8 patches cut from one gastric biopsy slide, 300 × 300 pixels each.
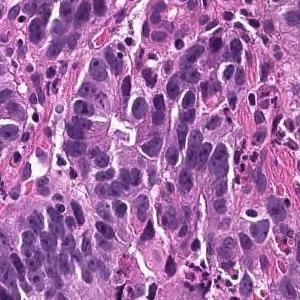
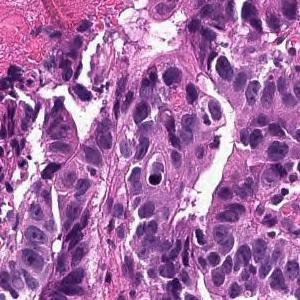
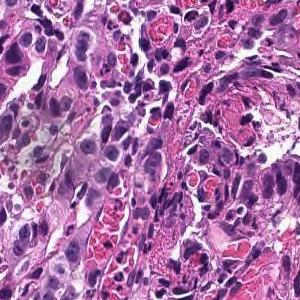
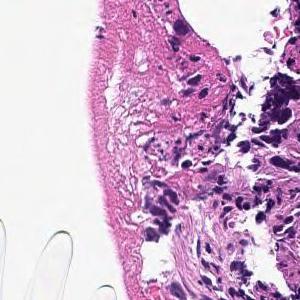
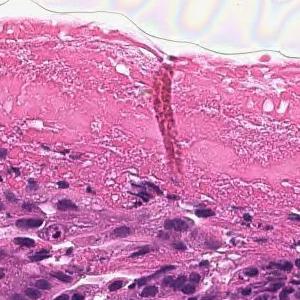
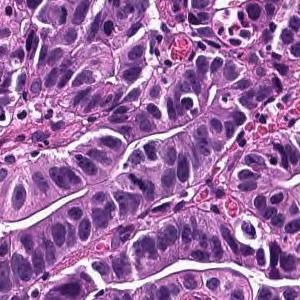
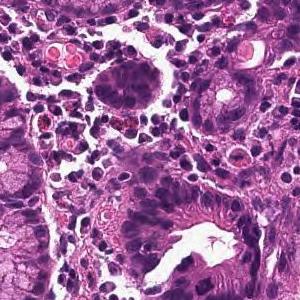
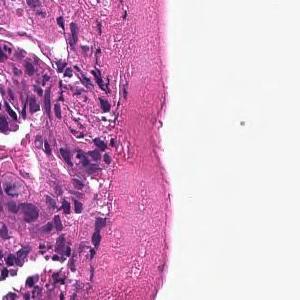
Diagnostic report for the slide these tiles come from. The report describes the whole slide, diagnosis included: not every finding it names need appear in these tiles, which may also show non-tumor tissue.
On the superficial epithelium, tumor tissue consisting of large, irregular glandular ducts partially fused and infiltrated is observed. Well to moderately differentiated tubular adenocarcinoma (well differentiated tubular adenocarcinoma, moderately differentiated tubular adenocarcinoma)
Tumor subtype: well to moderately differentiated tubular adenocarcinoma.
